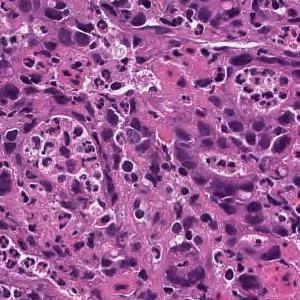
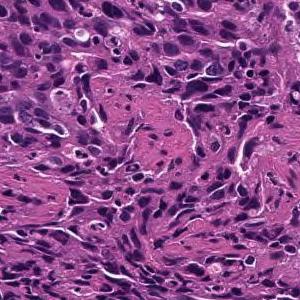
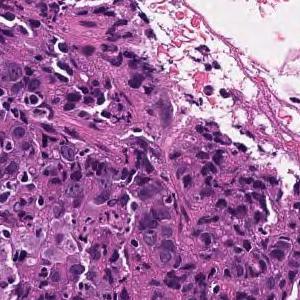
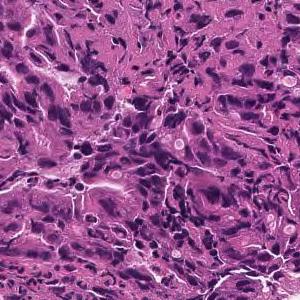
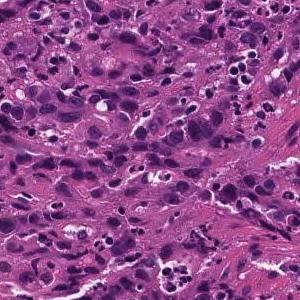
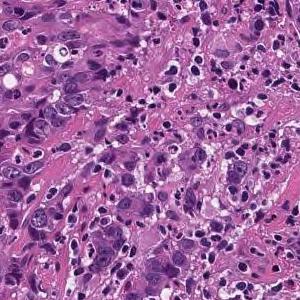
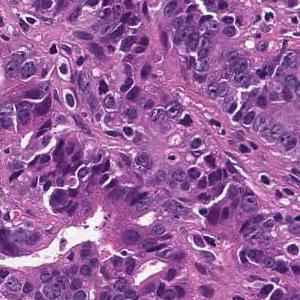
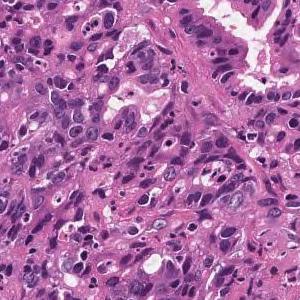
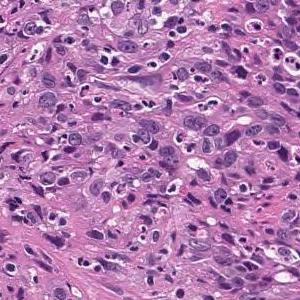
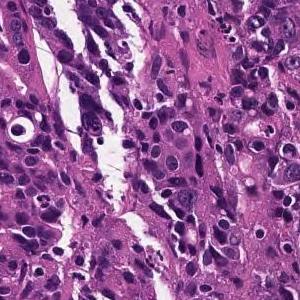
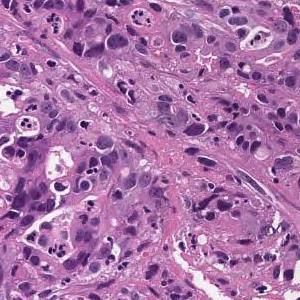
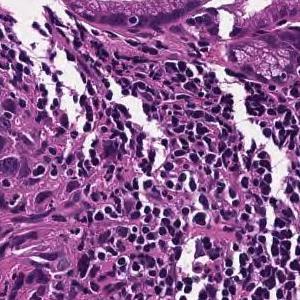
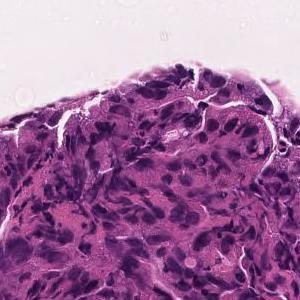
13 tiles from the same stomach biopsy slide · 300 × 300 pixels each · scanned at ×20.
Report on the slide these tiles come from. The report describes the whole slide, diagnosis included: not every finding it names need appear in these tiles, which may also show non-tumor tissue.
In the superficial epithelium, tumor tissue that invades by forming medium-sized to small, irregular ducts is observed. moderately differentiated tubular adenocarcinoma.
